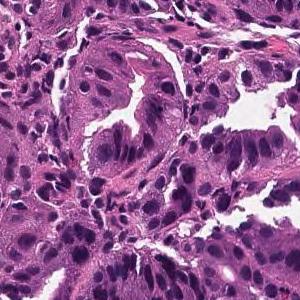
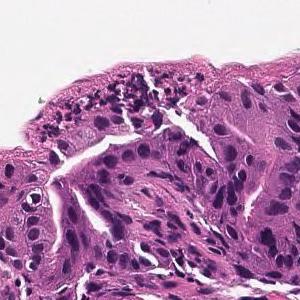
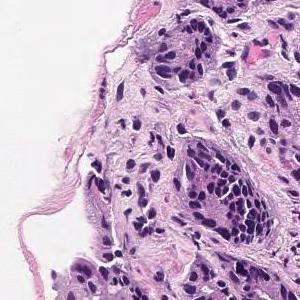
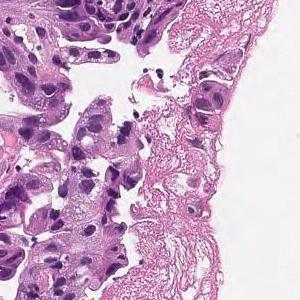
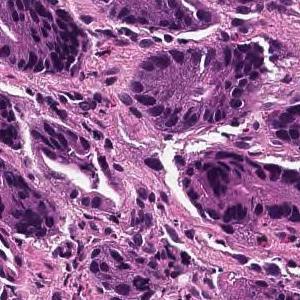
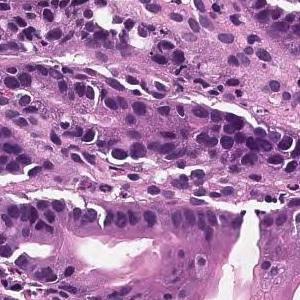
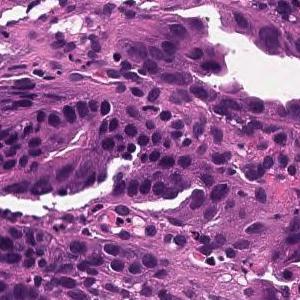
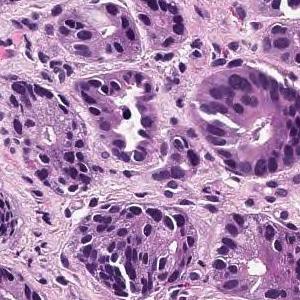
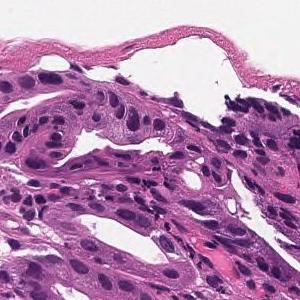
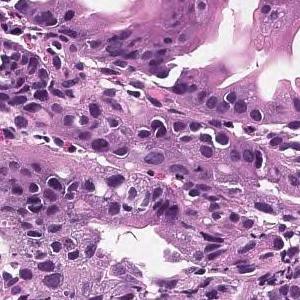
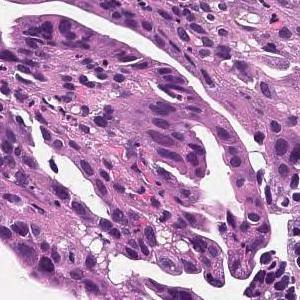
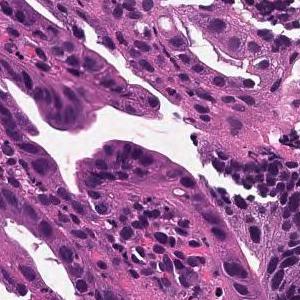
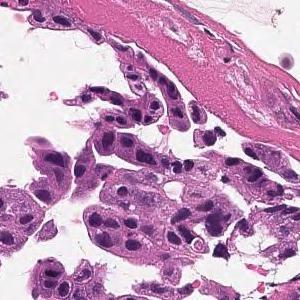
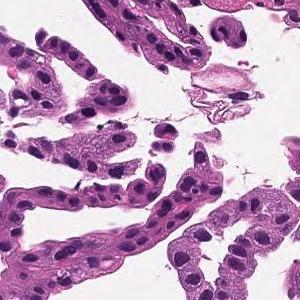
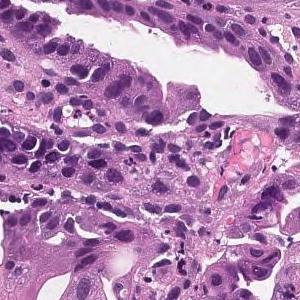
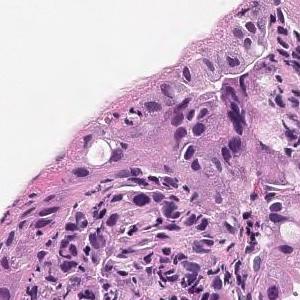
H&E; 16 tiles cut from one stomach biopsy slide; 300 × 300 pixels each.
Pathology report for the slide these tiles were cut from. The findings and the diagnosis refer to the entire slide; these tiles show only part of it, possibly with non-tumor tissue, and may not show every feature named.
From the superficial epithelium to the muscularis mucosae, tumor tissue consisting of medium-sized and irregular glandular ducts infiltrating is observed. Well differentiated tubular adenocarcinoma
